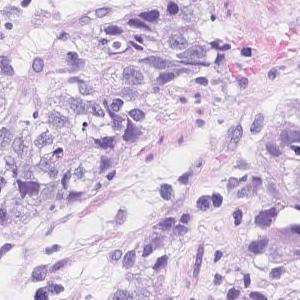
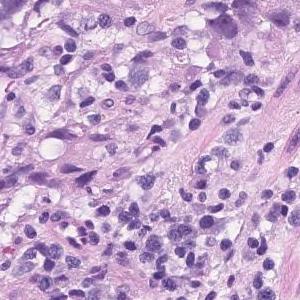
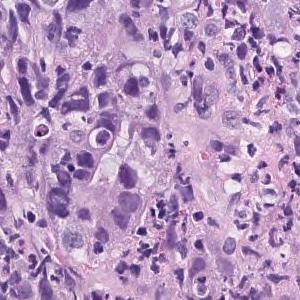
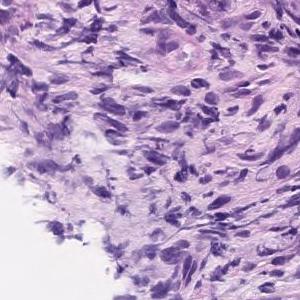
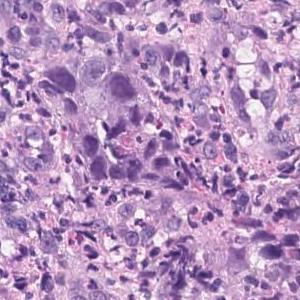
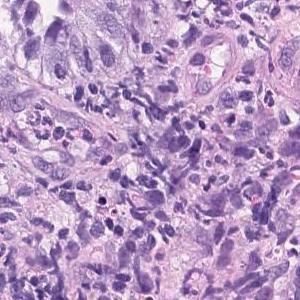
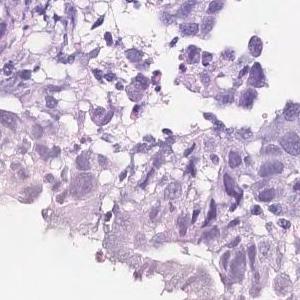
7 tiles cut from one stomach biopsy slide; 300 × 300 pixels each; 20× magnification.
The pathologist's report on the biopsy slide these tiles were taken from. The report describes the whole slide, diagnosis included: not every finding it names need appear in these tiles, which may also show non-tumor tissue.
Atypical epithelial cells infiltrating and proliferating diffusely or while forming vesicles is observed. Poorly differentiated adenocarcinoma (poorly differentiated adenocarcinoma, solid type moderately differentiated tubular adenocarcinoma)
Dataset label: poorly differentiated adenocarcinoma, solid type, a category of the Japanese Classification of Gastric Carcinoma; in the WHO 2019 classification it is tubular adenocarcinoma, poorly differentiated.
